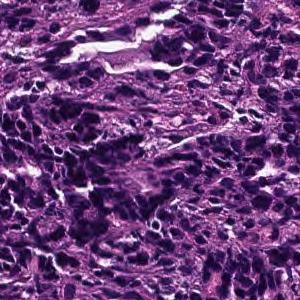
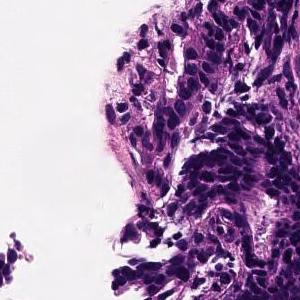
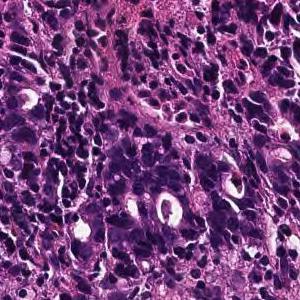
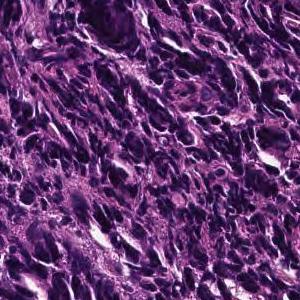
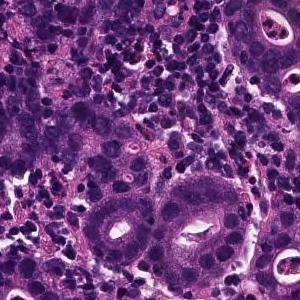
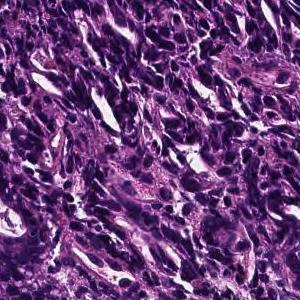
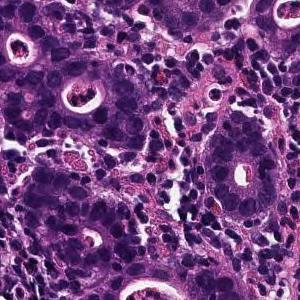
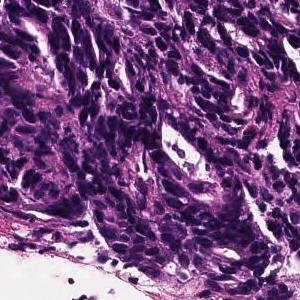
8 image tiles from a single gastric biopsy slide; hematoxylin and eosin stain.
The pathologist's report on the biopsy slide these tiles were taken from. The report describes the whole slide, diagnosis included: not every finding it names need appear in these tiles, which may also show non-tumor tissue.
On the superficial epithelium, tumor tissue is found in which medium-sized irregular gland ducts fuse with each other and infiltrate. moderately differentiated tubular adenocarcinoma or Poorly differentiated adenocarcinoma, non-solid type
Histological subtype: Moderately to poorly differentiated adenocarcinoma.
"Non-solid type" is a category of the Japanese Classification of Gastric Carcinoma.
